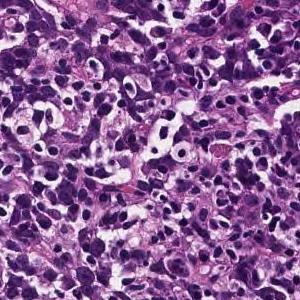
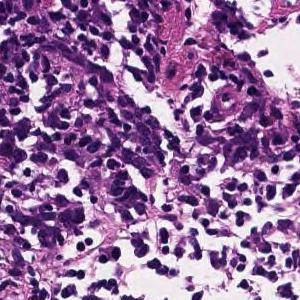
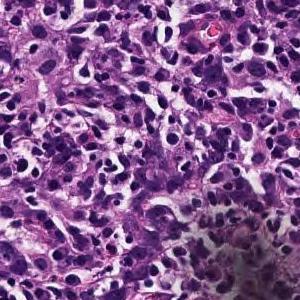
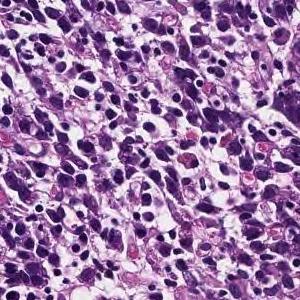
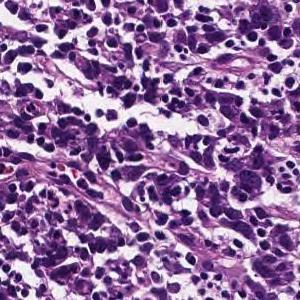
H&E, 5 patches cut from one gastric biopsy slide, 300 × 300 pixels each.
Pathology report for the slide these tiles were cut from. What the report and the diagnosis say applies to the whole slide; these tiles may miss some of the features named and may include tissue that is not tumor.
Tumor tissue consisting of cord-like or small, irregular glandular ducts fused and infiltrated is observed in the superficial epithelium. Poorly differentiated adenocarcinoma, non-solid type
"Non-solid type" is a category of the Japanese Classification of Gastric Carcinoma.
